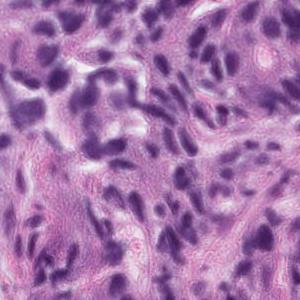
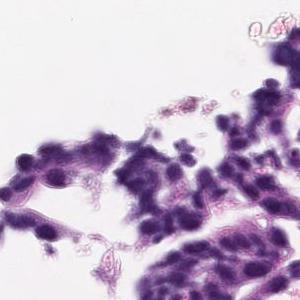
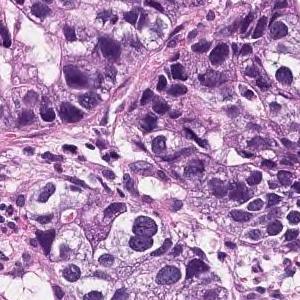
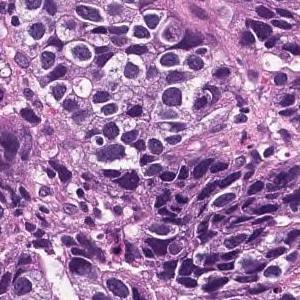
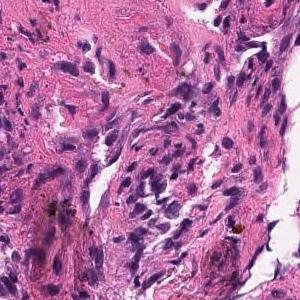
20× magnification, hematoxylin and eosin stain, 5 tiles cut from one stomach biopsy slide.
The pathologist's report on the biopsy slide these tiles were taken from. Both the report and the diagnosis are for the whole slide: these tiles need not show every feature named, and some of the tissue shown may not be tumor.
Medium to small, irregular glandular ducts are formed in the superficial epithelium, and in some cases, the glandular ducts are fused to show solid alveolar lesions and infiltrating tumor tissue is observed. Moderately to poorly differentiated adenocarcinoma.
